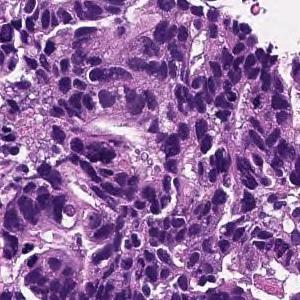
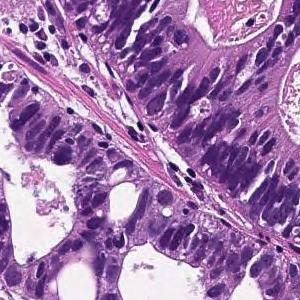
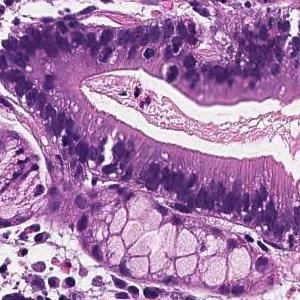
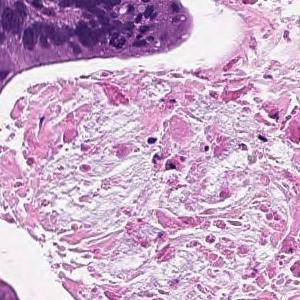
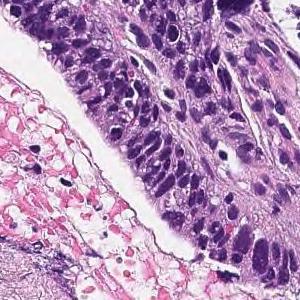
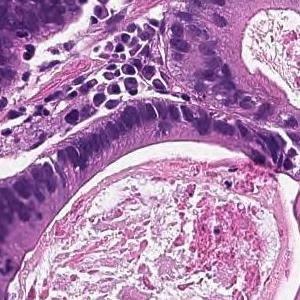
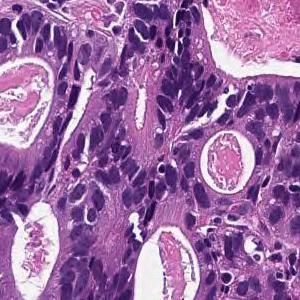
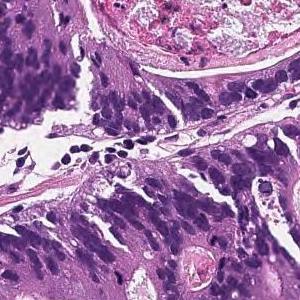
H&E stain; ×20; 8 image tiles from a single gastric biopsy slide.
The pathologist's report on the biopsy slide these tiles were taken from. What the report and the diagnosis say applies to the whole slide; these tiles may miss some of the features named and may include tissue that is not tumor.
In the superficial epithelium, tumor tissue that invades by forming medium-sized to small, irregular ducts is observed. moderately differentiated tubular adenocarcinoma.
